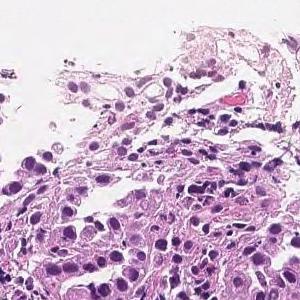
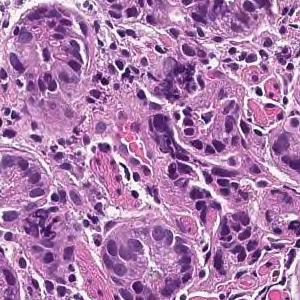
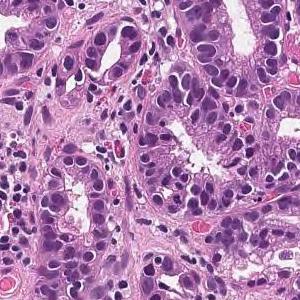
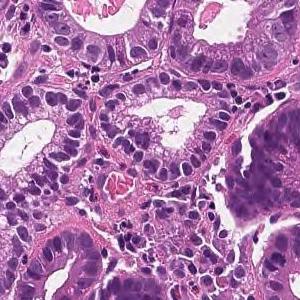
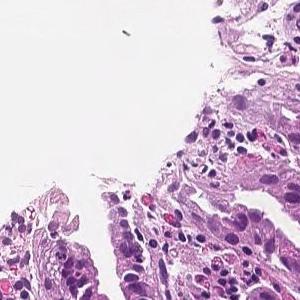
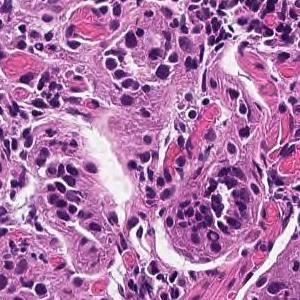
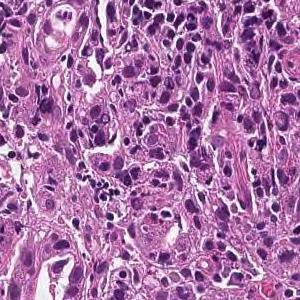
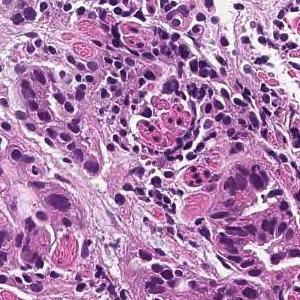
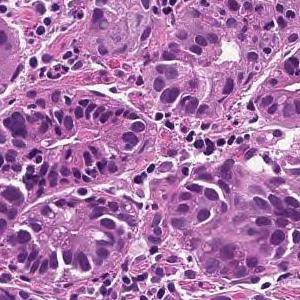
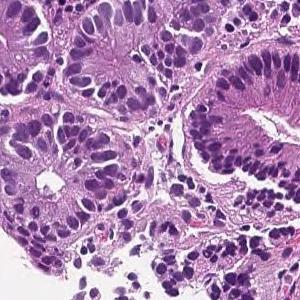
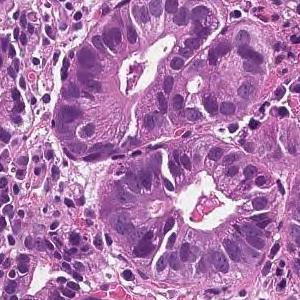
11 patches cut from one gastric biopsy slide, 300 × 300 pixels each, hematoxylin and eosin stain, ×20.
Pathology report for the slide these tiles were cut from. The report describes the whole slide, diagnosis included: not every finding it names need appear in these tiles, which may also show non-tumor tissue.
On the superficial epithelium, tumor tissue consisting of large irregular glandular ducts partially fused and infiltrated is observed. Well to moderately differentiated tubular adenocarcinoma (well differentiated tubular adenocarcinoma, moderately differentiated tubular adenocarcinoma)
Histological subtype: Well to moderately differentiated tubular adenocarcinoma.
